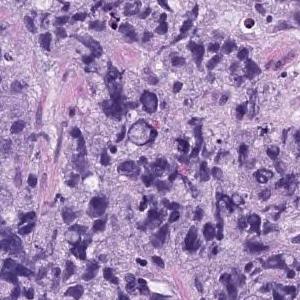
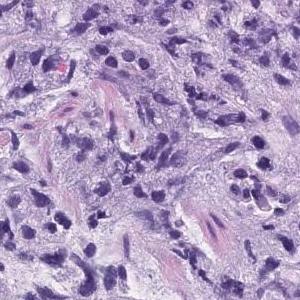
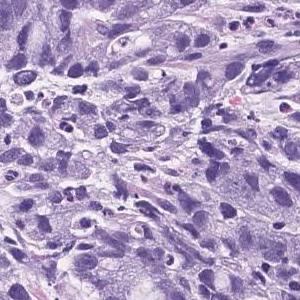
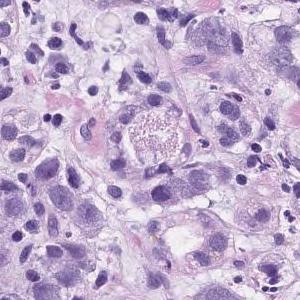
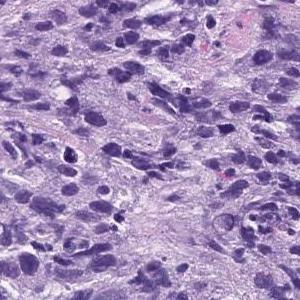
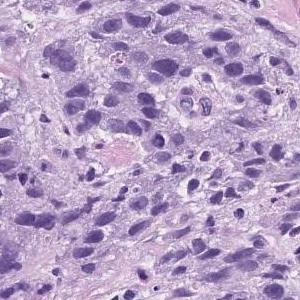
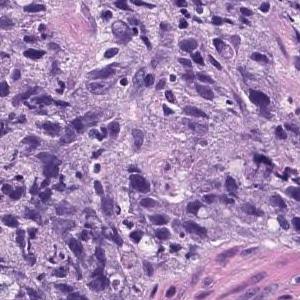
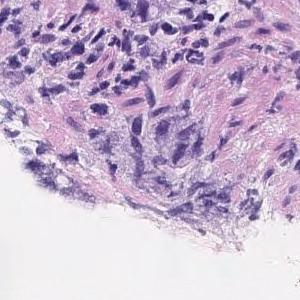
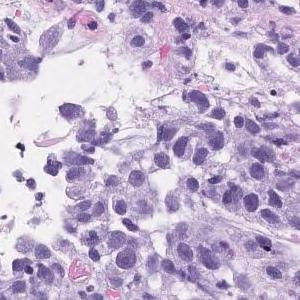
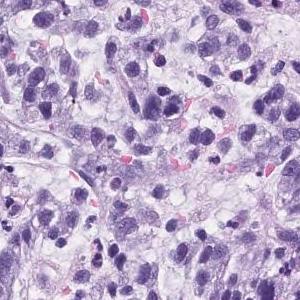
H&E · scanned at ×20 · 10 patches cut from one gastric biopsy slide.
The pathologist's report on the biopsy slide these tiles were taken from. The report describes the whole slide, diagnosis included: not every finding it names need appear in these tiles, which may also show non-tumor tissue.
Atypical l cells with atypical nuclei forming solid vesicles or small irregular atypical ducts that proliferate in a complex manner. poorly differentiated adenocarcinoma, solid type, moderately differentiated tubular adenocarcinoma
The solid type named here is a Japanese Classification of Gastric Carcinoma category; WHO 2019 calls it tubular adenocarcinoma, poorly differentiated.
